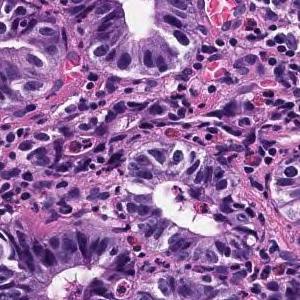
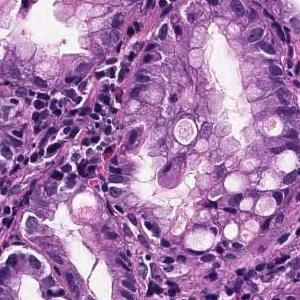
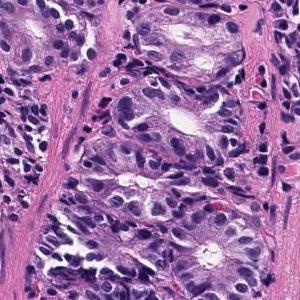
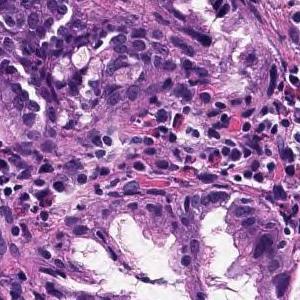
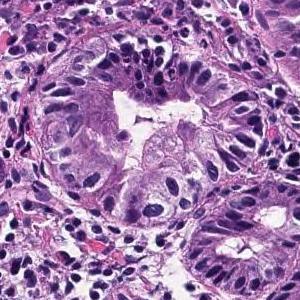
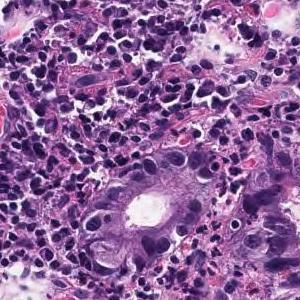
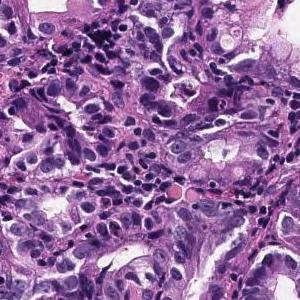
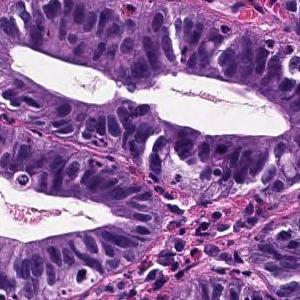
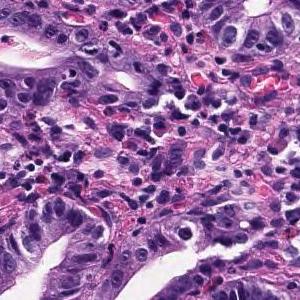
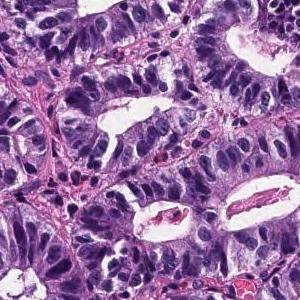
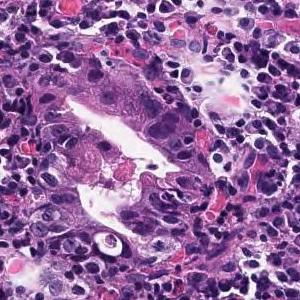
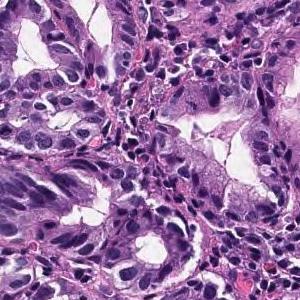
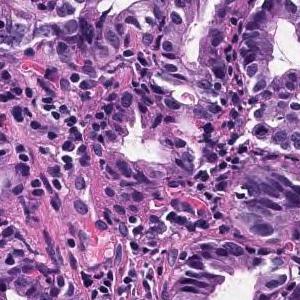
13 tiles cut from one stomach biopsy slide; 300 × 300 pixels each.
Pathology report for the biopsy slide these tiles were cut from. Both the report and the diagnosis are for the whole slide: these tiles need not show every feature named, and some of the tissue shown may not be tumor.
Tumor tissue consisting of medium-sized and irregular ducts is observed infiltrating in the superficial epithelium. Tumor cells are highly columnar, with nuclei aligned basolaterally and polarized. Well differentiated tubular adenocarcinoma.
